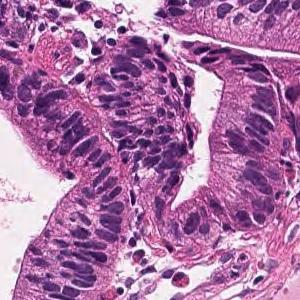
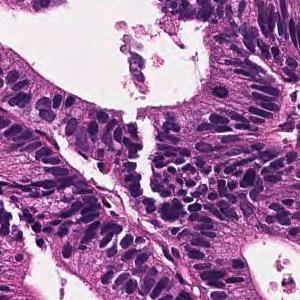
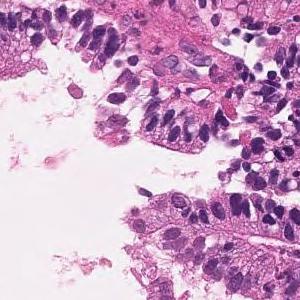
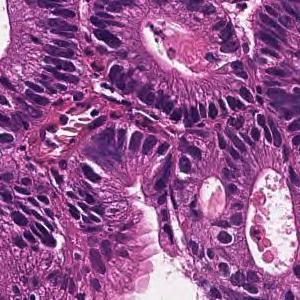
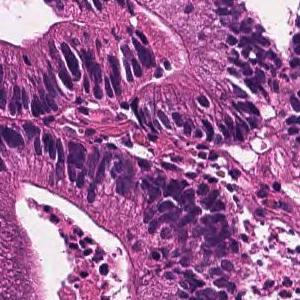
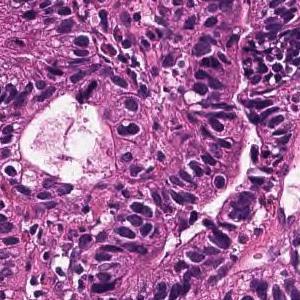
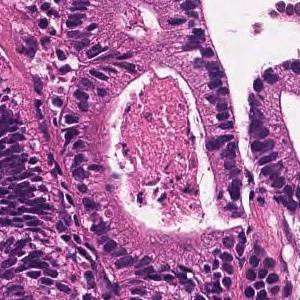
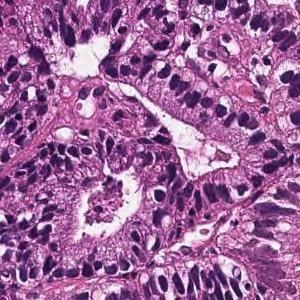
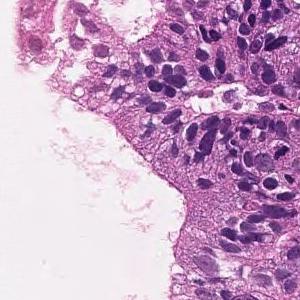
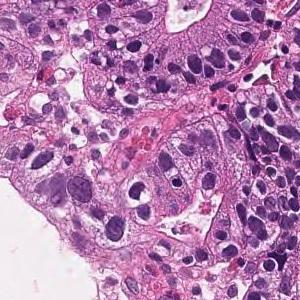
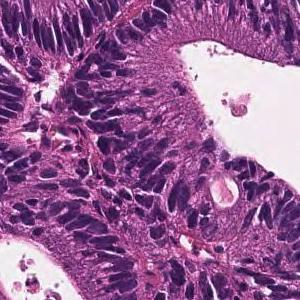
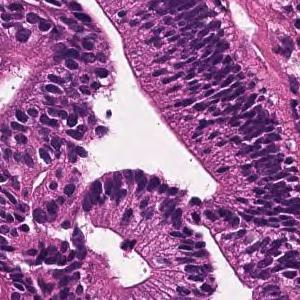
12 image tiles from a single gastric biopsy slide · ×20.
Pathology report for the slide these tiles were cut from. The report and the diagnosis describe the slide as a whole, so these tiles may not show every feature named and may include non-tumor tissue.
From the superficial epithelium to the muscularis mucosae, tumor tissue infiltrating by forming medium-sized irregular gland ducts is observed. Large tumor cells exhibit large nucleus and hyperchromatism. Well differentiated tubular adenocarcinoma
